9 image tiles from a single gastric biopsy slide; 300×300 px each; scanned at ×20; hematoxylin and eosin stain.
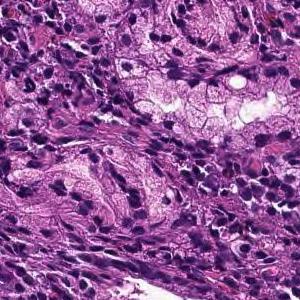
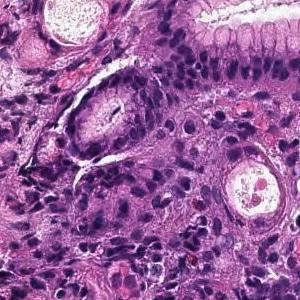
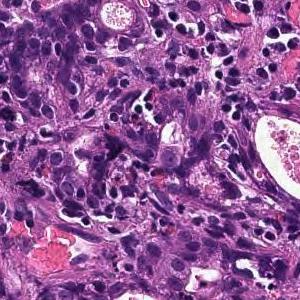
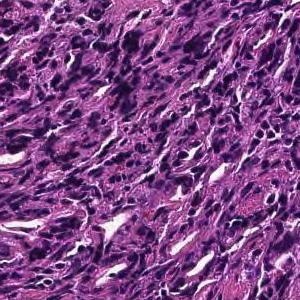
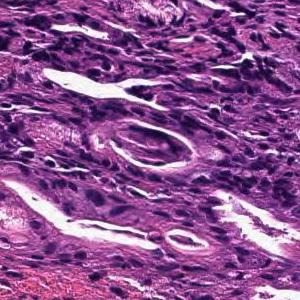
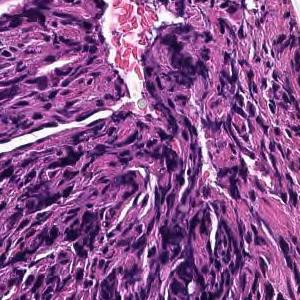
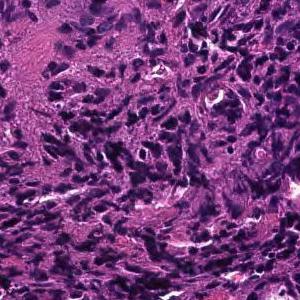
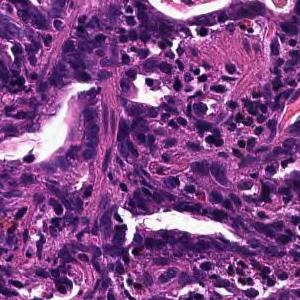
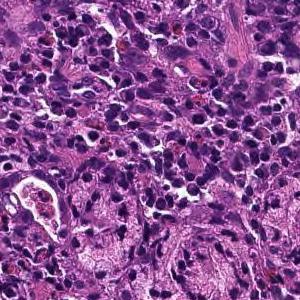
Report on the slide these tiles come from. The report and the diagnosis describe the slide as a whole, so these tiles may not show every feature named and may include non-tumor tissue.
In the superficial epithelium, tumor tissue that invades by forming medium-sized to small, irregular ducts is observed. moderately differentiated tubular adenocarcinoma.
